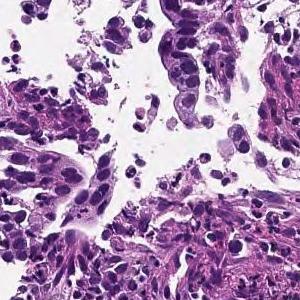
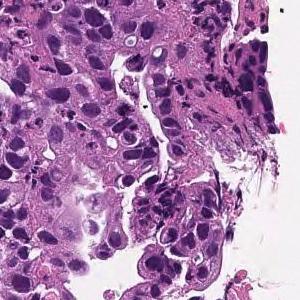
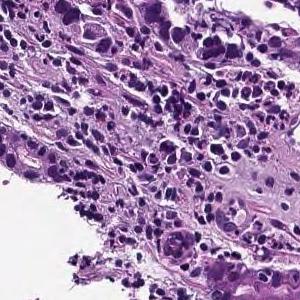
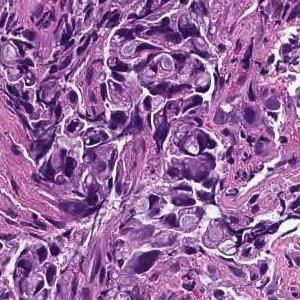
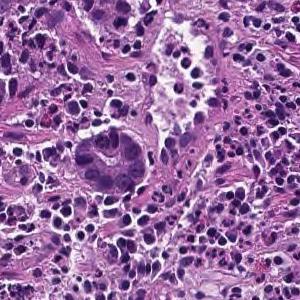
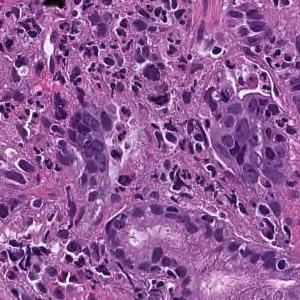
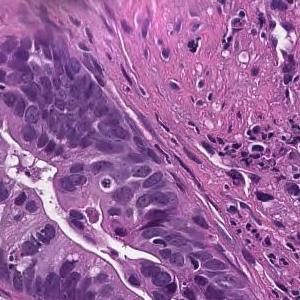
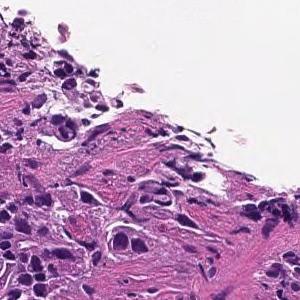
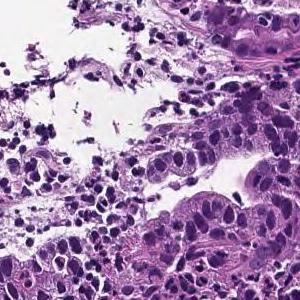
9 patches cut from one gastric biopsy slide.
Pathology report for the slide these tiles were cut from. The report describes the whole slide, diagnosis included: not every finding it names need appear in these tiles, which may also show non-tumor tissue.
Tumor tissue consisting of medium-sized, cord-like or irregular glandular infiltration is observed in the superficial epithelium. Poorly differentiated adenocarcinoma, non-solid type or moderately differentiated tubular adenocarcinoma
Histological subtype: Moderately to poorly differentiated adenocarcinoma.
The term "non-solid type" comes from the Japanese Classification of Gastric Carcinoma.
